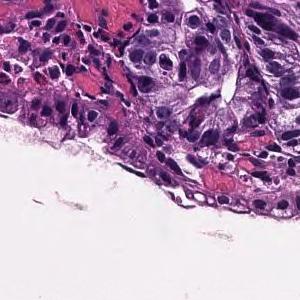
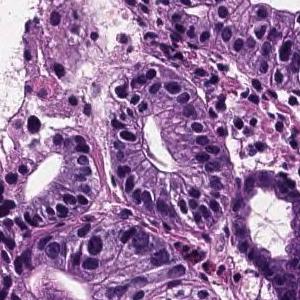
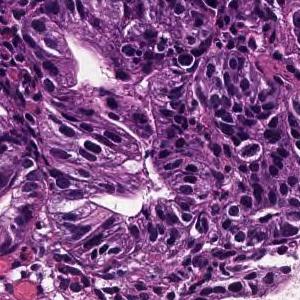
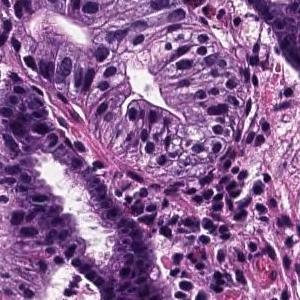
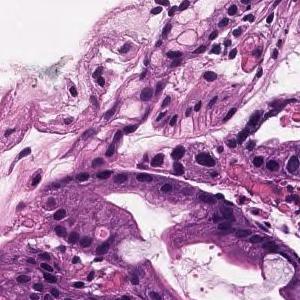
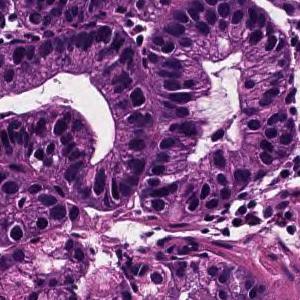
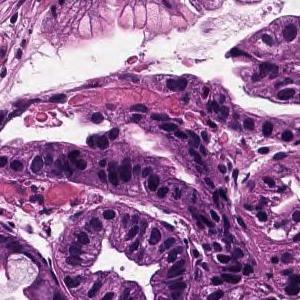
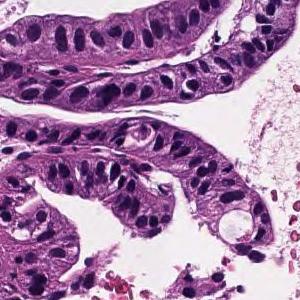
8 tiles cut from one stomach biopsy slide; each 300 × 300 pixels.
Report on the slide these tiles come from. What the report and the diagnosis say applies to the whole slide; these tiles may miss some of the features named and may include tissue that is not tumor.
On the superficial epithelium, tumor tissue that infiltrates by forming medium-sized papillary or small irregular ducts is observed. Papillary adenocarcinoma
